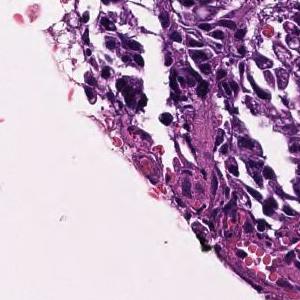
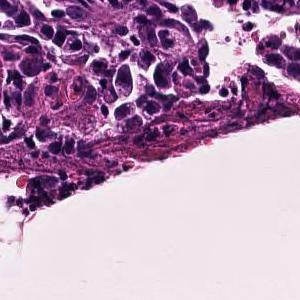
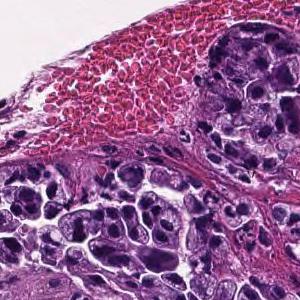
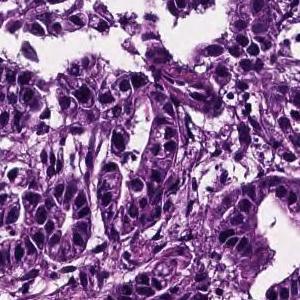
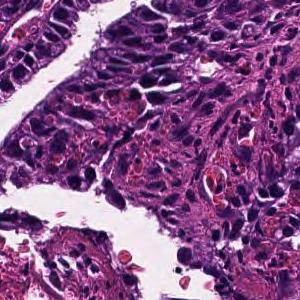
5 patches cut from one gastric biopsy slide · H&E.
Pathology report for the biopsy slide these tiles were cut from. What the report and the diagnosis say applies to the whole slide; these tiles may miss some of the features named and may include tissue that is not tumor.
Tumor cells are large, highly columnar, large club-shaped nuclei, and are associated with chromatin aggregation. Papillary adenocarcinoma.
